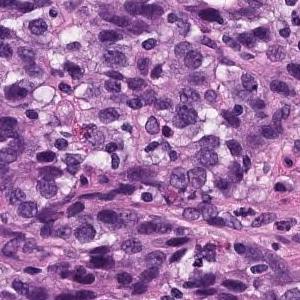
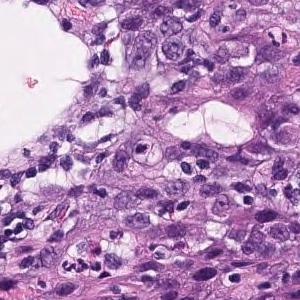
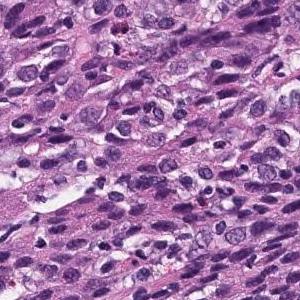
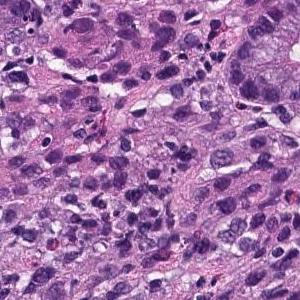
4 patches cut from one gastric biopsy slide, each 300 × 300 pixels, scanned at ×20, H&E stain.
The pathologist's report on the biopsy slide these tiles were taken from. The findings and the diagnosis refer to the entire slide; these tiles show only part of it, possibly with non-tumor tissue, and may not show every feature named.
In the superficial epithelium, tumor tissue that invades by forming medium-sized to small, irregular ducts is observed. Moderately differentiated adenocarcinoma.
Histological subtype: Moderately differentiated tubular adenocarcinoma.
